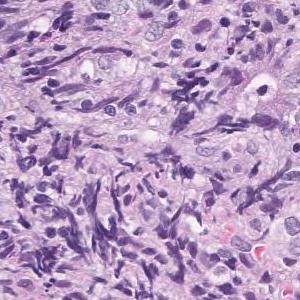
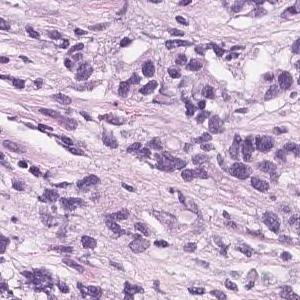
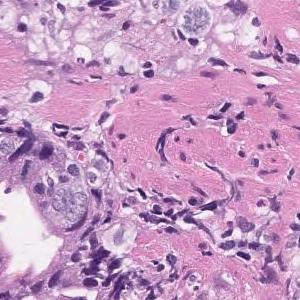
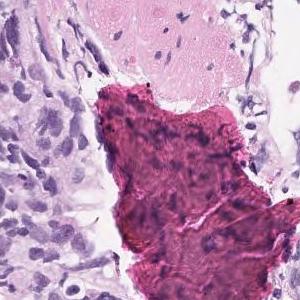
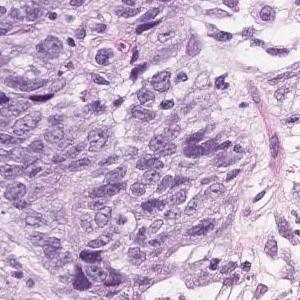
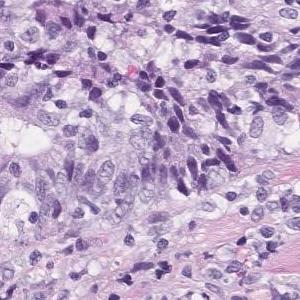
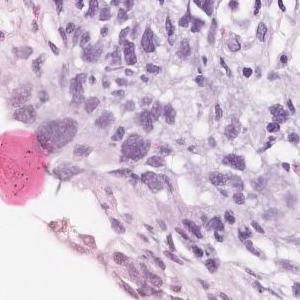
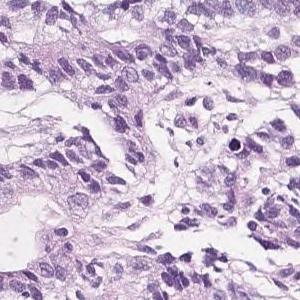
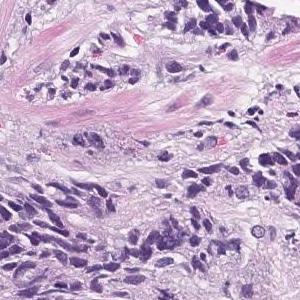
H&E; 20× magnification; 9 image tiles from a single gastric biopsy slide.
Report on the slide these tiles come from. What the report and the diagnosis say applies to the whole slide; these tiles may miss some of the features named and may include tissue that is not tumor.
Highly columnar epithelium with disordered nuclear localization proliferates showing fusion ductal construction. moderately differentiated tubular adenocarcinoma
